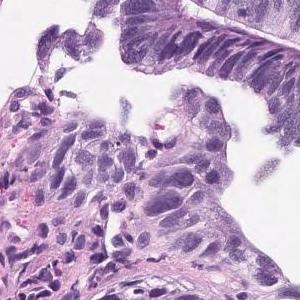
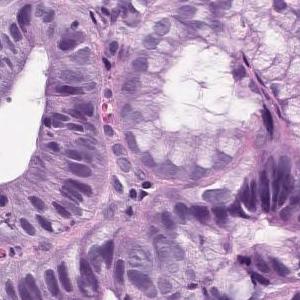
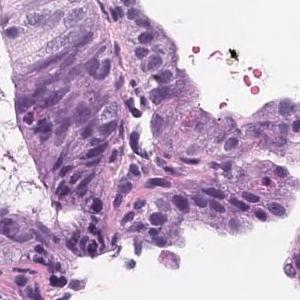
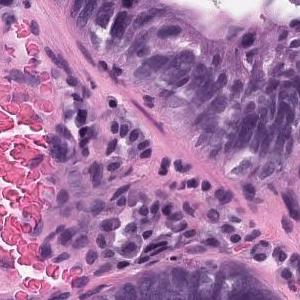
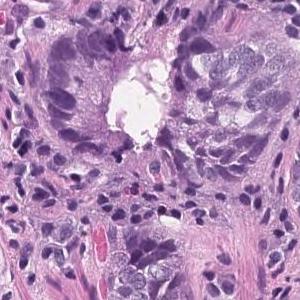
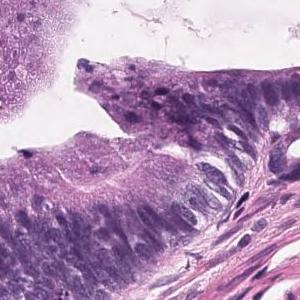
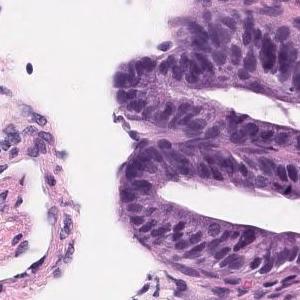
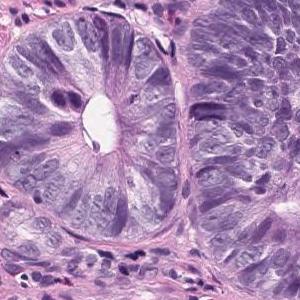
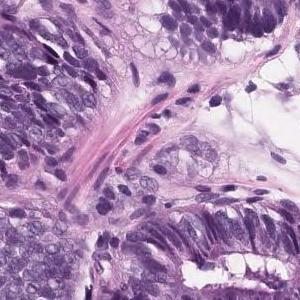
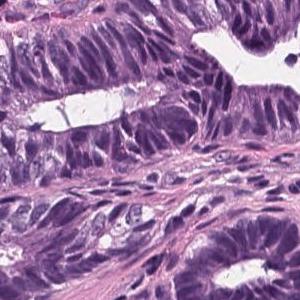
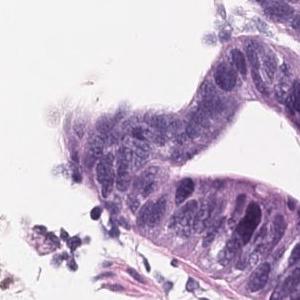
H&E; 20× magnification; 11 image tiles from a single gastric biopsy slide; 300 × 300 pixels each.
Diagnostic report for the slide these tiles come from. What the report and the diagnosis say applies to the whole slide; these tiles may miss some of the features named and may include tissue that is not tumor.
Tumor tissue consisting of medium-sized and irregular ducts is observed infiltrating in the superficial epithelium. Tumor cells are highly columnar, with nuclei aligned basolaterally and polarized. Well differentiated tubular adenocarcinoma.
